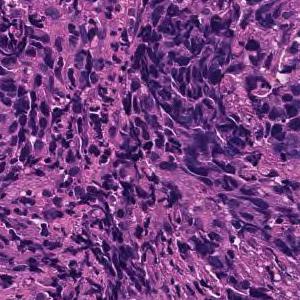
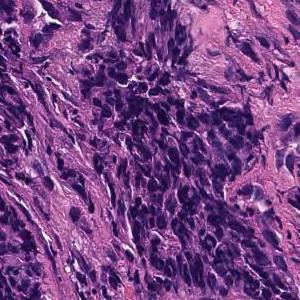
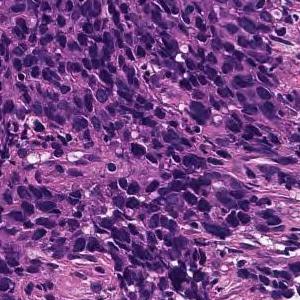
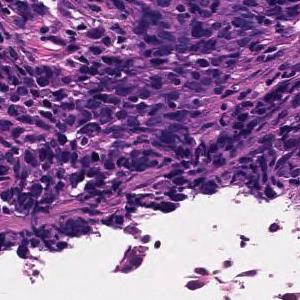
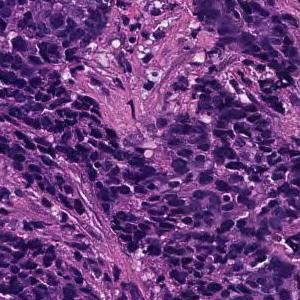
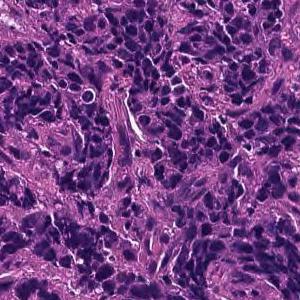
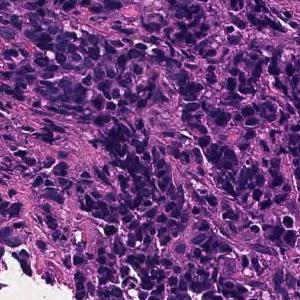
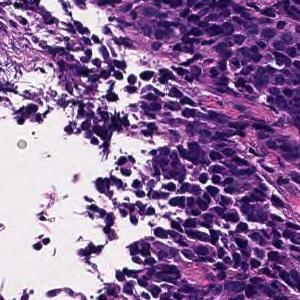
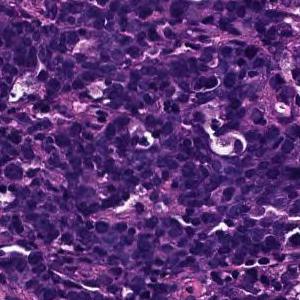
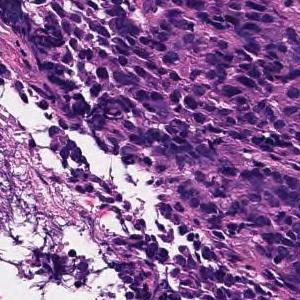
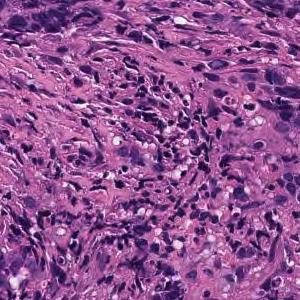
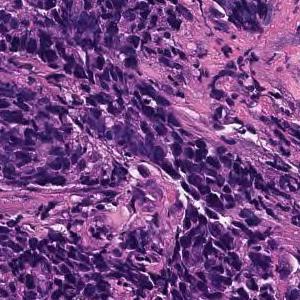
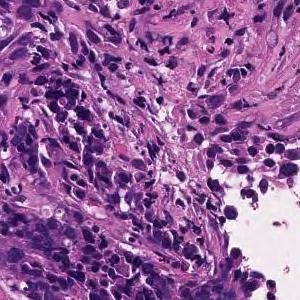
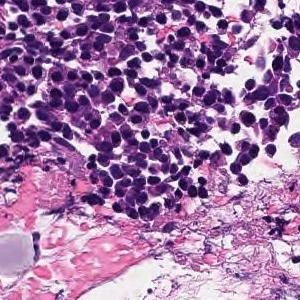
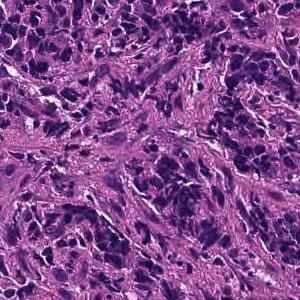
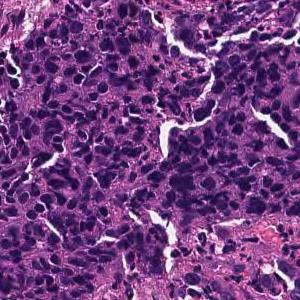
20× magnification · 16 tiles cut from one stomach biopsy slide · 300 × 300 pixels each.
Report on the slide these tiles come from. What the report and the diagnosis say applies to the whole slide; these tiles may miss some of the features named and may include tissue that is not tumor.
Tumor tissue consisting of cord-like or small, irregular glandular ducts fused and infiltrated is observed in the superficial epithelium. Poorly differentiated adenocarcinoma, non-solid type
The non-solid type named here is a Japanese Classification of Gastric Carcinoma category.
